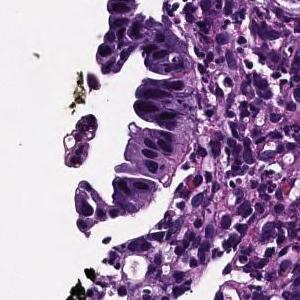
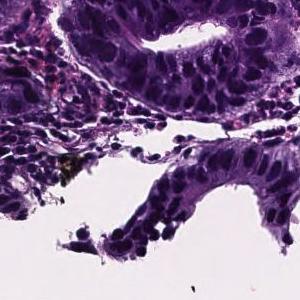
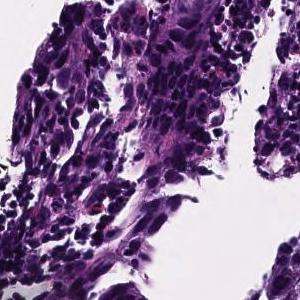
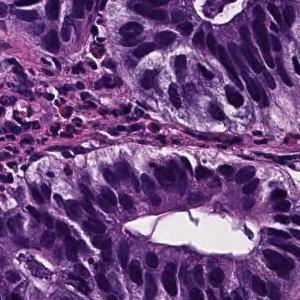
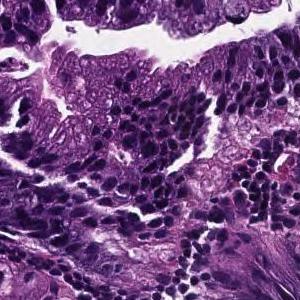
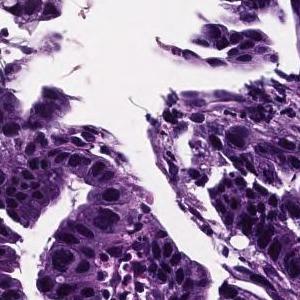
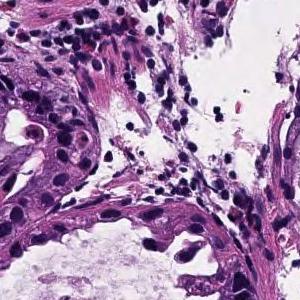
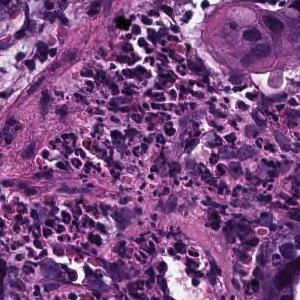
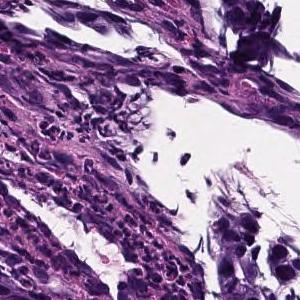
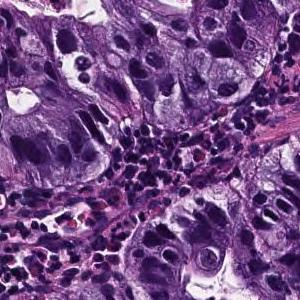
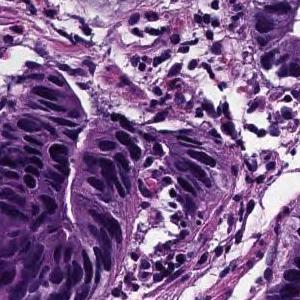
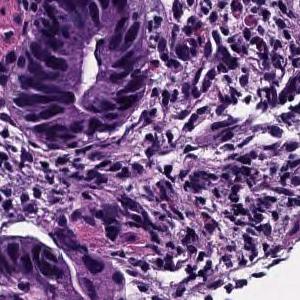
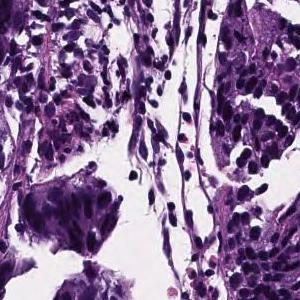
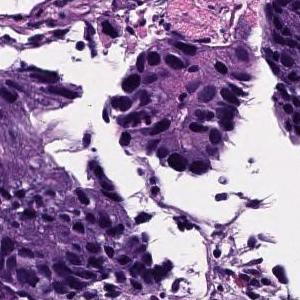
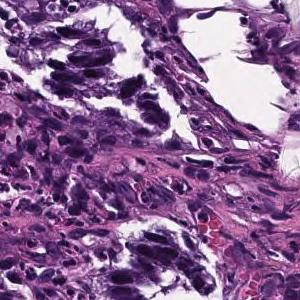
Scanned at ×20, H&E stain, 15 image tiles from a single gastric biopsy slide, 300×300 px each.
Report on the slide these tiles come from. The report and the diagnosis cover the entire slide, so not every feature they name need be visible here, and some tissue shown may not be tumor.
In the superficial epithelium, tumor tissue that invades by forming medium-sized to small, irregular ducts is observed. Moderately differentiated adenocarcinoma.
Subtype: Moderately differentiated tubular adenocarcinoma.
